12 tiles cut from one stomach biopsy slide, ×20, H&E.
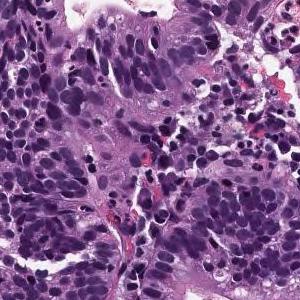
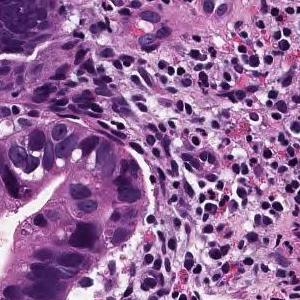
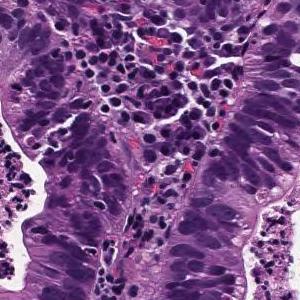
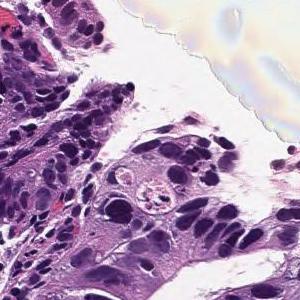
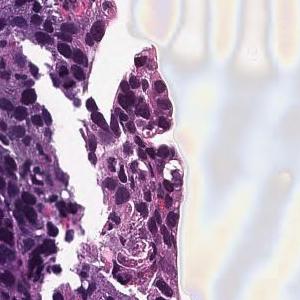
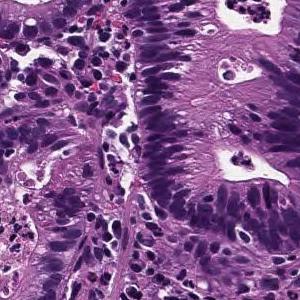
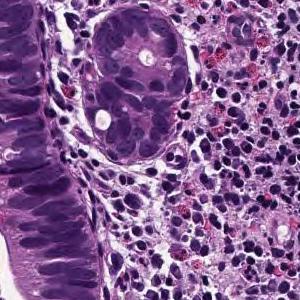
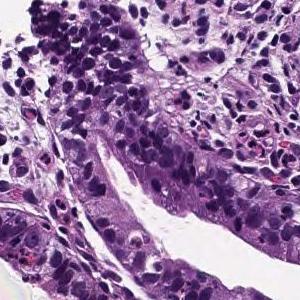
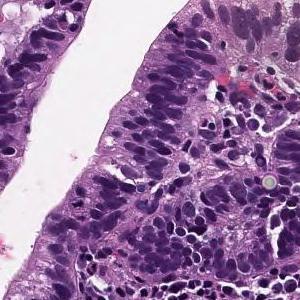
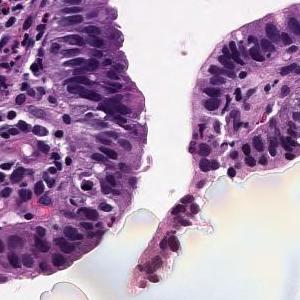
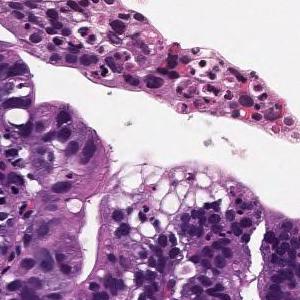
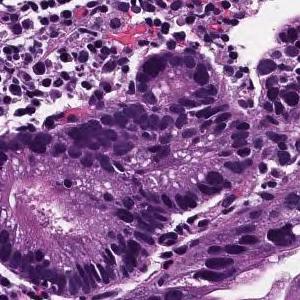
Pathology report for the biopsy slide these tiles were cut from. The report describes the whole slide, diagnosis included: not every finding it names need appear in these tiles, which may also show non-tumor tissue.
From the superficial epithelium to the muscularis mucosae, tumor tissue consisting of medium-sized and irregular glandular ducts infiltrating is observed. Well differentiated tubular adenocarcinoma
